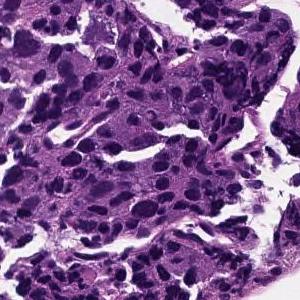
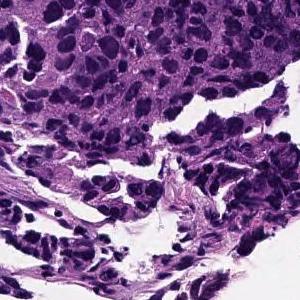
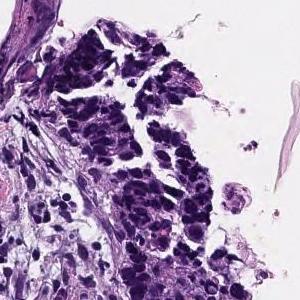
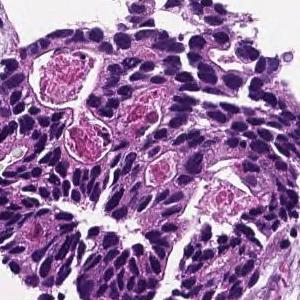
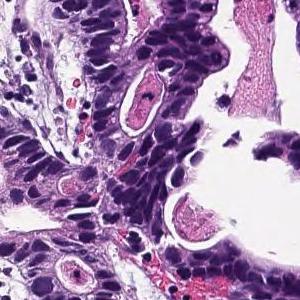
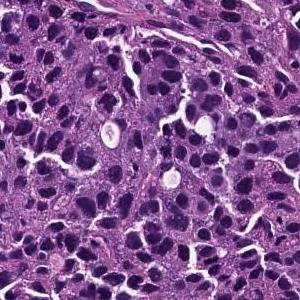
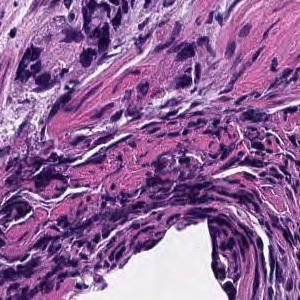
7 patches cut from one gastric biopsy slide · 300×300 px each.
Diagnostic report for the slide these tiles come from. What the report and the diagnosis say applies to the whole slide; these tiles may miss some of the features named and may include tissue that is not tumor.
From the superficial epithelium to the muscularis mucosae, tumor tissue consisting of medium-sized and irregular glandular ducts infiltrating is observed. Well differentiated tubular adenocarcinoma
